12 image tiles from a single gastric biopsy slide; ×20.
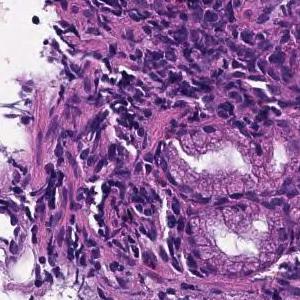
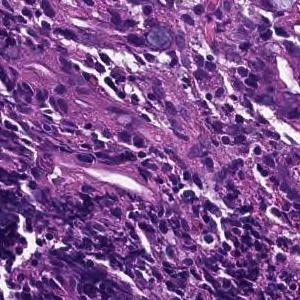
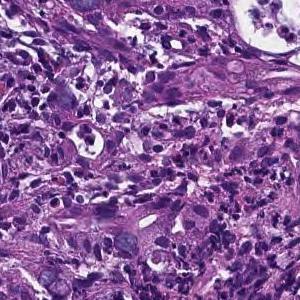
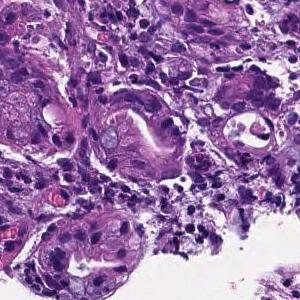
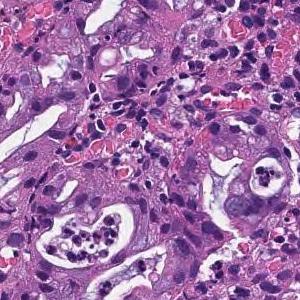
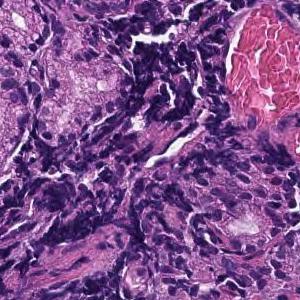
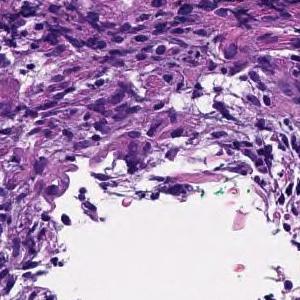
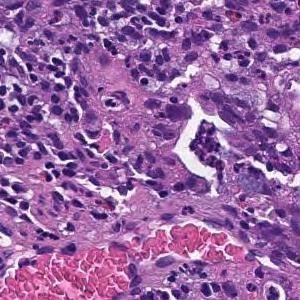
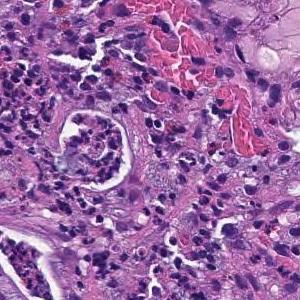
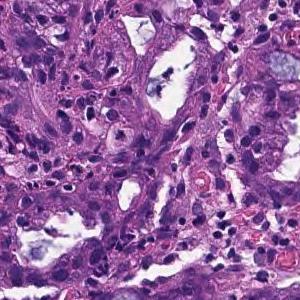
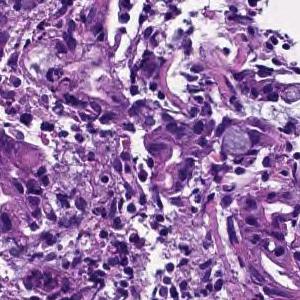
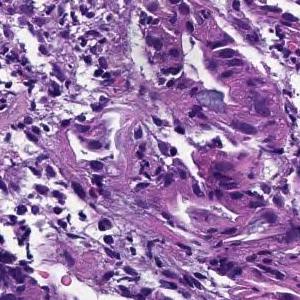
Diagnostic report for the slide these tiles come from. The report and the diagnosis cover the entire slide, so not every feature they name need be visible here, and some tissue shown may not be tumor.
In the superficial epithelium, tumor tissue that invades by forming medium-sized to small, irregular ducts is observed. moderately differentiated tubular adenocarcinoma.
